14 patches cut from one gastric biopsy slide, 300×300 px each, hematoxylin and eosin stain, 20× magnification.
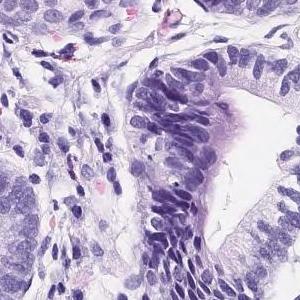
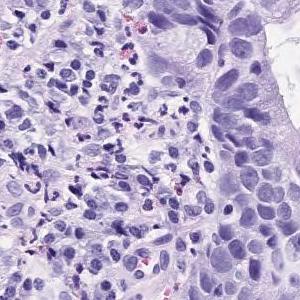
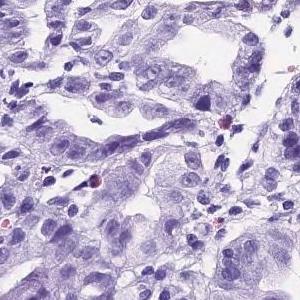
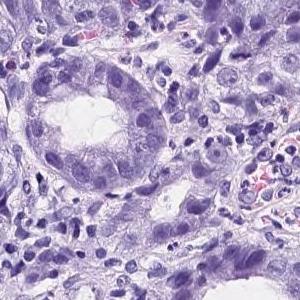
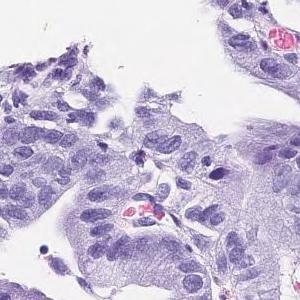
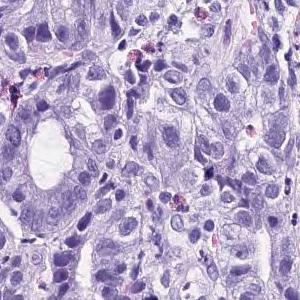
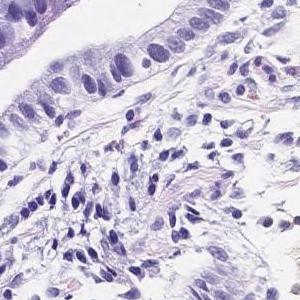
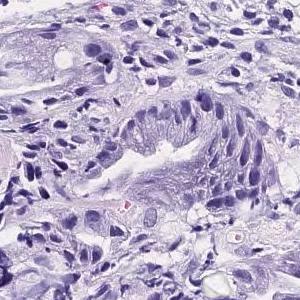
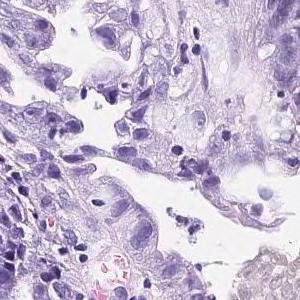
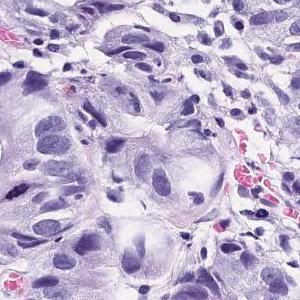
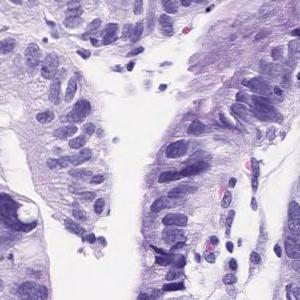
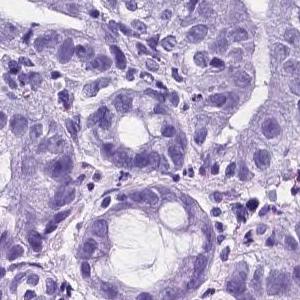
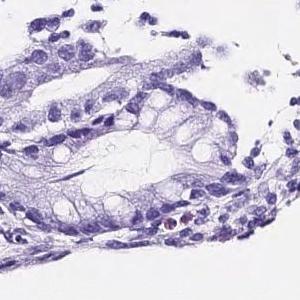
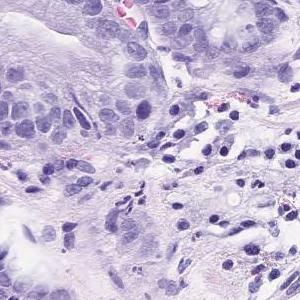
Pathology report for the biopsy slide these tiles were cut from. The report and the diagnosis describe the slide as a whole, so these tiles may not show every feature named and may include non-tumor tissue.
Tumor tissue consisting of medium-sized and irregular ducts is observed infiltrating in the superficial epithelium. Tumor cells are highly columnar, with nuclei aligned basolaterally and polarized. Well differentiated tubular adenocarcinoma.
